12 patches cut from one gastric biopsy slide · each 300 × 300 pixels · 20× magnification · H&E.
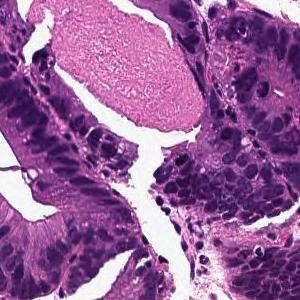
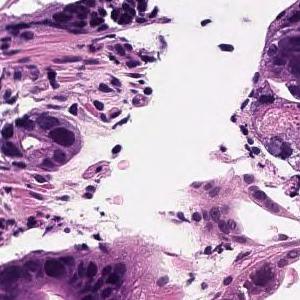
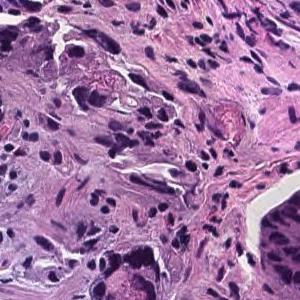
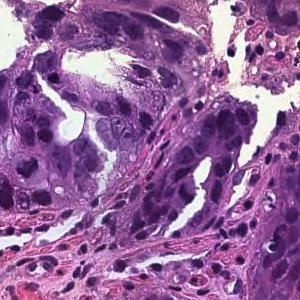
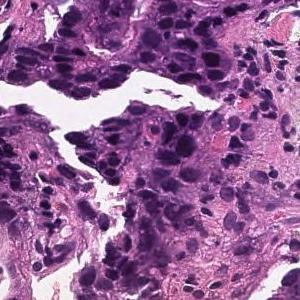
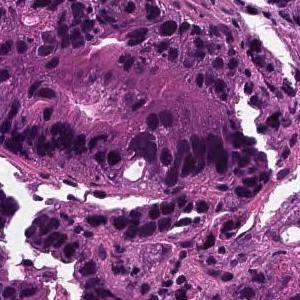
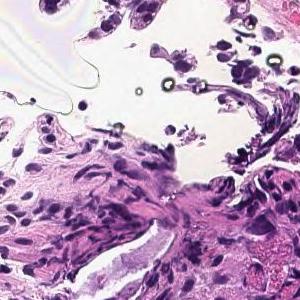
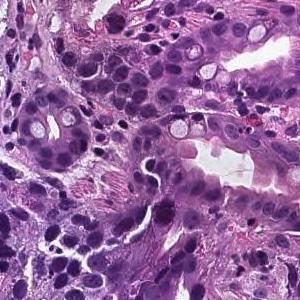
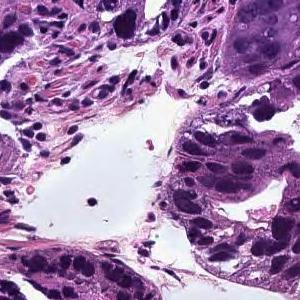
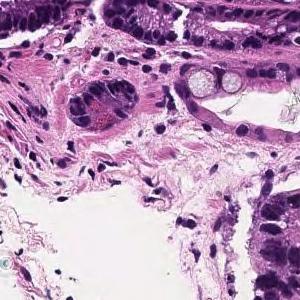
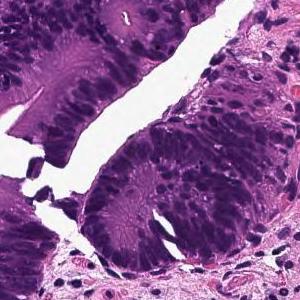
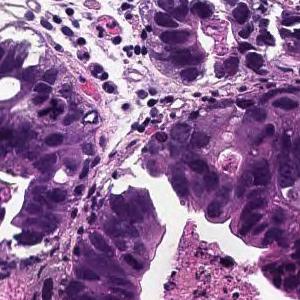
Diagnostic report for the slide these tiles come from. The report and the diagnosis describe the slide as a whole, so these tiles may not show every feature named and may include non-tumor tissue.
In the superficial epithelium, tumor tissue that invades by forming medium-sized to small, irregular ducts is observed. moderately differentiated tubular adenocarcinoma.
